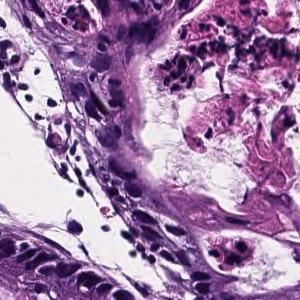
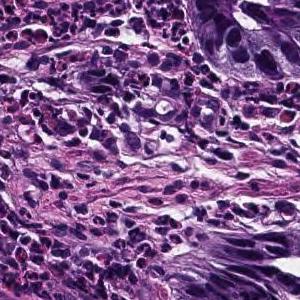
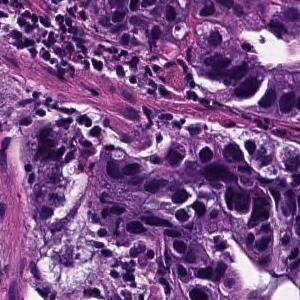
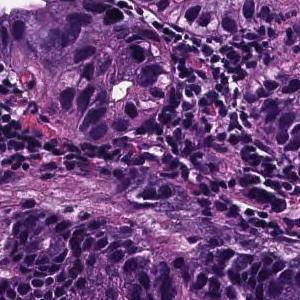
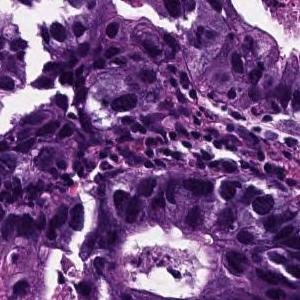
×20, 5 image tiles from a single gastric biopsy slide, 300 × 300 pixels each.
The pathologist's report on the biopsy slide these tiles were taken from. The report and the diagnosis cover the entire slide, so not every feature they name need be visible here, and some tissue shown may not be tumor.
In the superficial epithelium, tumor tissue that invades by forming medium-sized to small, irregular ducts is observed. Moderately differentiated adenocarcinoma.
Histologic type: Moderately differentiated tubular adenocarcinoma.
